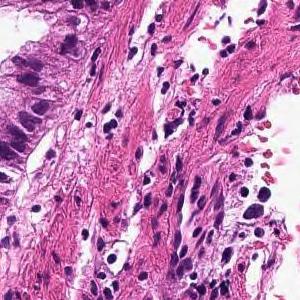
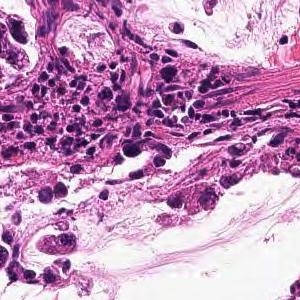
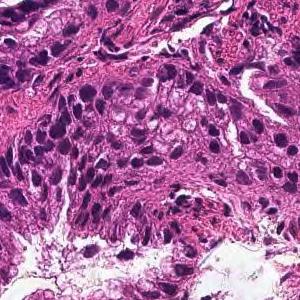
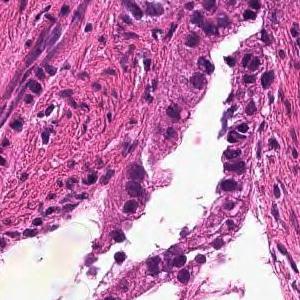
4 tiles from the same stomach biopsy slide, 20× magnification, H&E.
Diagnostic report for the slide these tiles come from. The findings and the diagnosis refer to the entire slide; these tiles show only part of it, possibly with non-tumor tissue, and may not show every feature named.
From the superficial epithelium to the muscularis mucosae, tumor tissue infiltrating by forming medium-sized irregular gland ducts is observed. Well differentiated tubular adenocarcinoma
